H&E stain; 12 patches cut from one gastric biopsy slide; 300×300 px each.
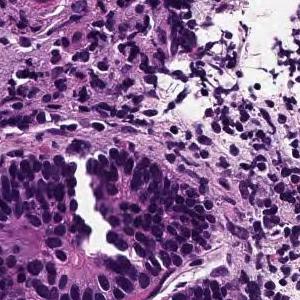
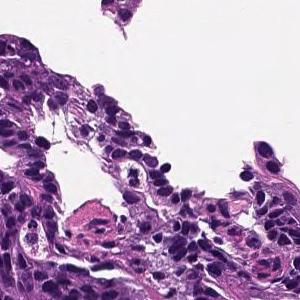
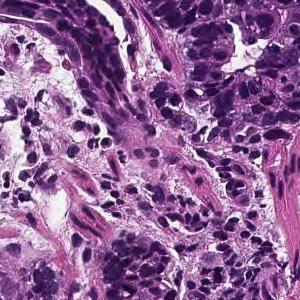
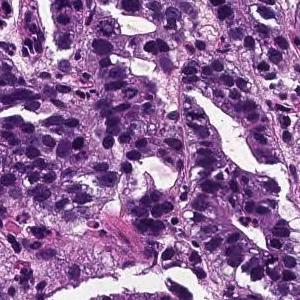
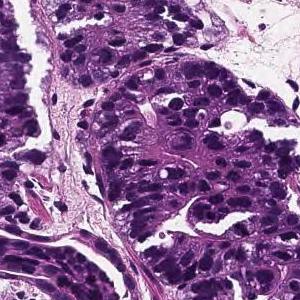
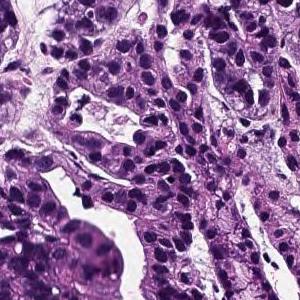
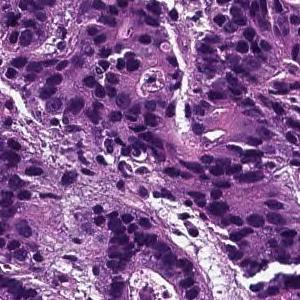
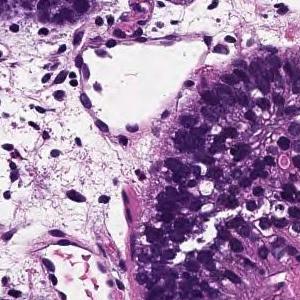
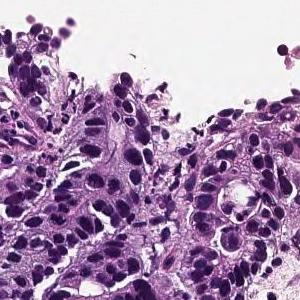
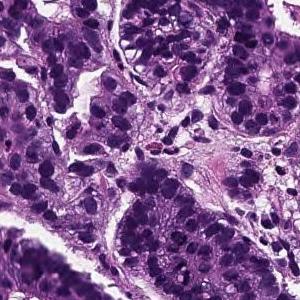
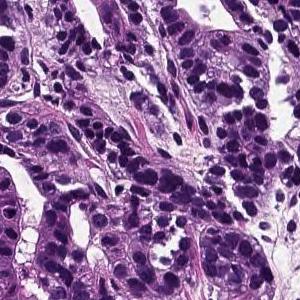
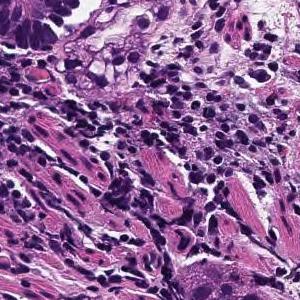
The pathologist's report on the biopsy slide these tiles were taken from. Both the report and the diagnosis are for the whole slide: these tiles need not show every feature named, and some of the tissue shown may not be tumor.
On the superficial epithelium, tumor tissue is found in which medium-sized irregular gland ducts fuse with each other and infiltrate. moderately differentiated tubular adenocarcinoma
